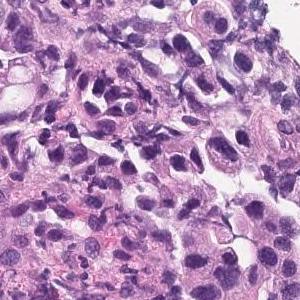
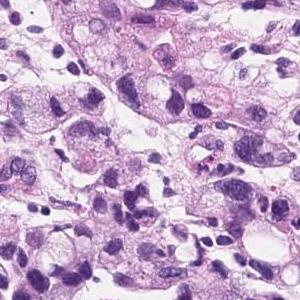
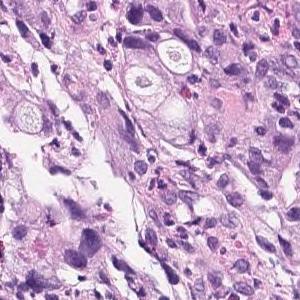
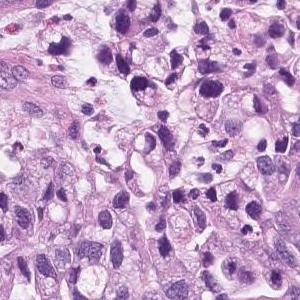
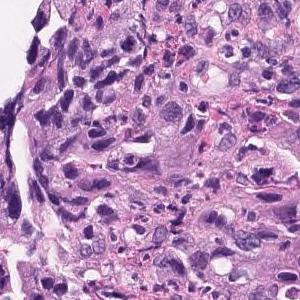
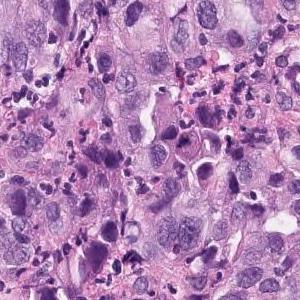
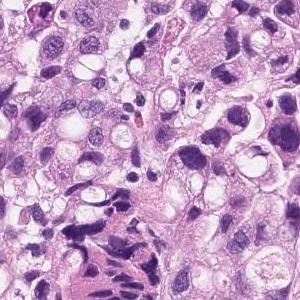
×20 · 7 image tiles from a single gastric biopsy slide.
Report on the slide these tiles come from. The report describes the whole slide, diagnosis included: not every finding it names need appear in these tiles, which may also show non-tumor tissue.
Group 5, Adenocarcinoma. Poorly differentiated adenocarcinoma, non-solid type
The non-solid type named here is a Japanese Classification of Gastric Carcinoma category.
